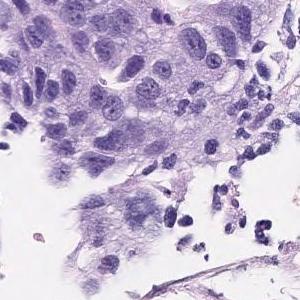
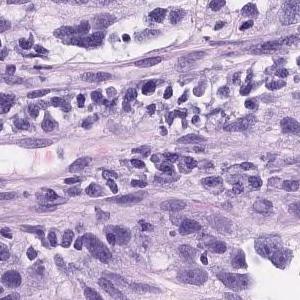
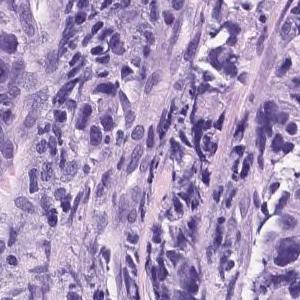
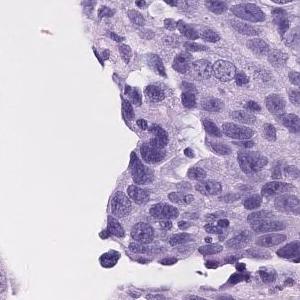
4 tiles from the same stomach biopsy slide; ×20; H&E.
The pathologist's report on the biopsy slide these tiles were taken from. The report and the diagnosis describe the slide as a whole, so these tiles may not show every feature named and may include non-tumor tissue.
The superficial epithelium shows a large sheet-like shape, and some tumor tissue infiltrates with small irregular ducts. Poorly differentiated adenocarcinoma, solid-type
Tumor subtype: poorly differentiated adenocarcinoma, solid type. This name comes from the Japanese Classification of Gastric Carcinoma; the WHO 2019 classification calls it tubular adenocarcinoma, poorly differentiated.
